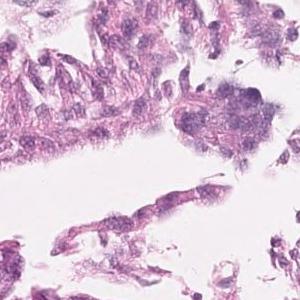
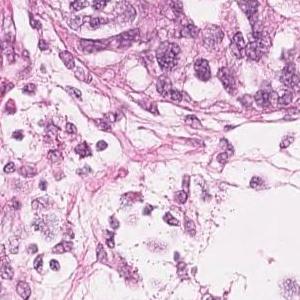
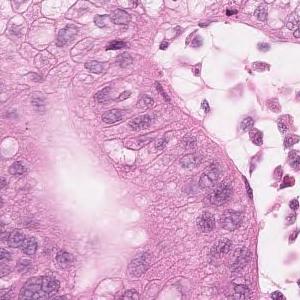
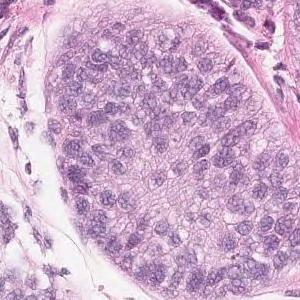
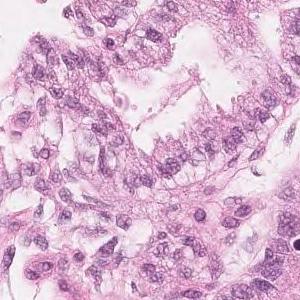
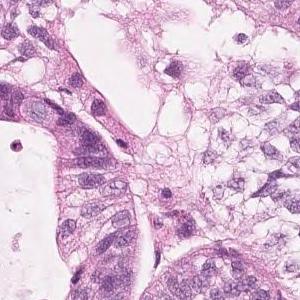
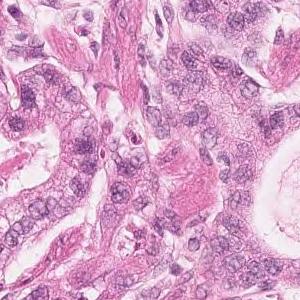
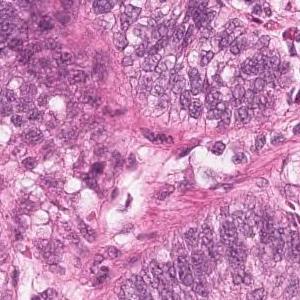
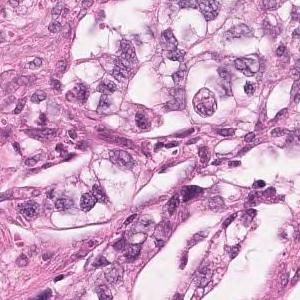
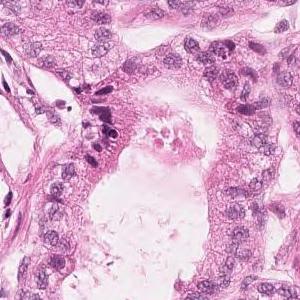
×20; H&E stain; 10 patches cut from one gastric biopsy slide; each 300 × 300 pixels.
Report on the slide these tiles come from. What the report and the diagnosis say applies to the whole slide; these tiles may miss some of the features named and may include tissue that is not tumor.
Highly columnar epithelium with disordered nuclear localization proliferates showing fusion ductal construction. moderately differentiated tubular adenocarcinoma
